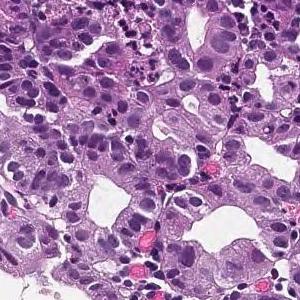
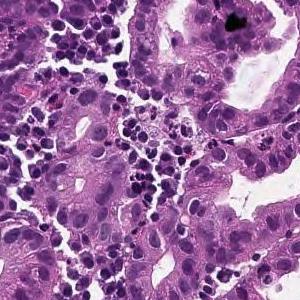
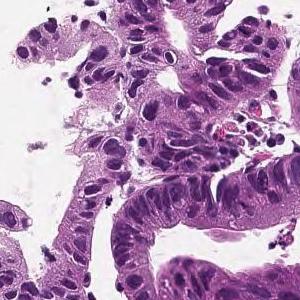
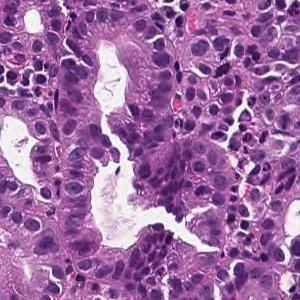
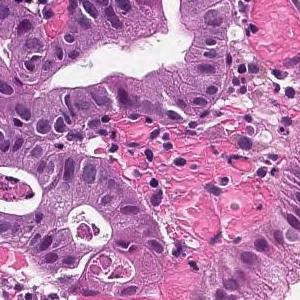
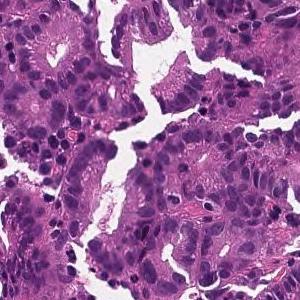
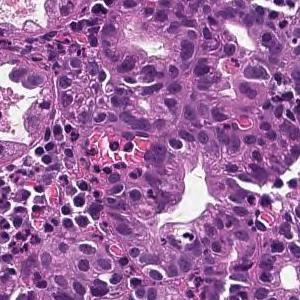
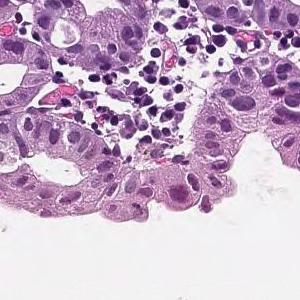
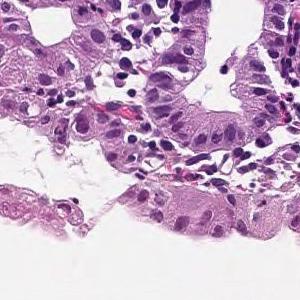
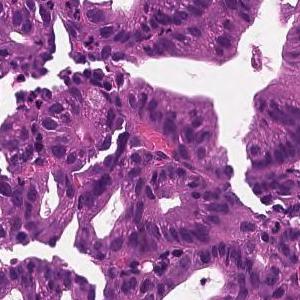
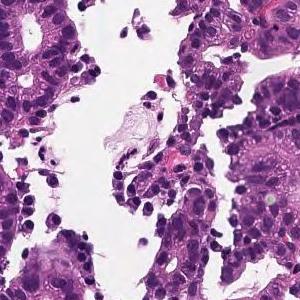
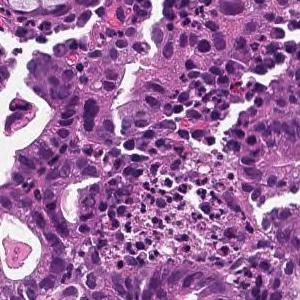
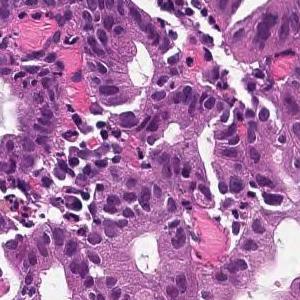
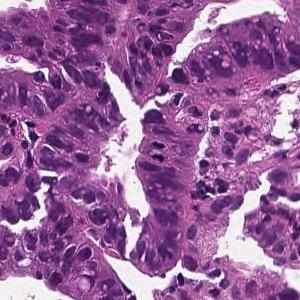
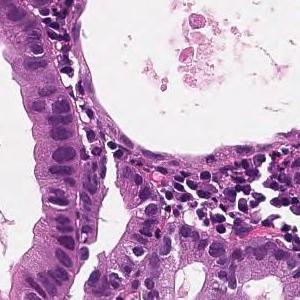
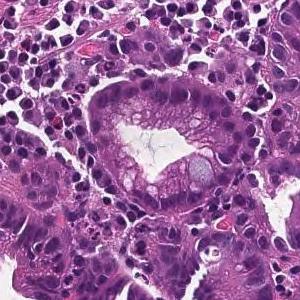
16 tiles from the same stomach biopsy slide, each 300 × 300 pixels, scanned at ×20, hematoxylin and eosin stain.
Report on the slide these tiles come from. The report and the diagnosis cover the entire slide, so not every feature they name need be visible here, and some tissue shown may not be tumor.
From the superficial epithelium to the muscularis mucosae, tumor tissue consisting of medium-sized and irregular glandular ducts infiltrating is observed. Well differentiated tubular adenocarcinoma
